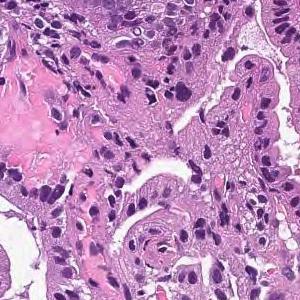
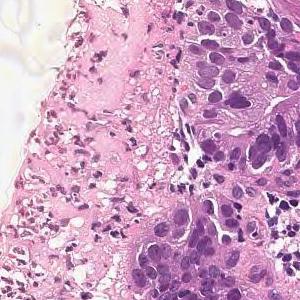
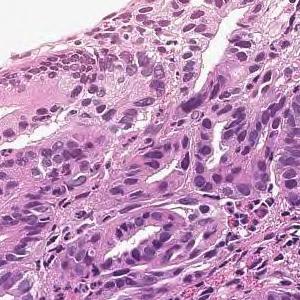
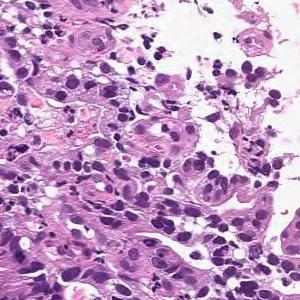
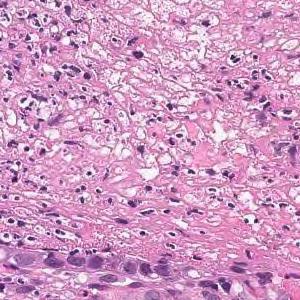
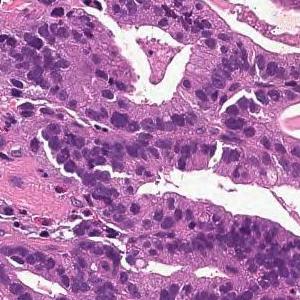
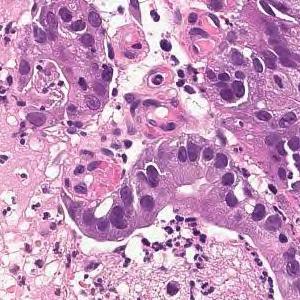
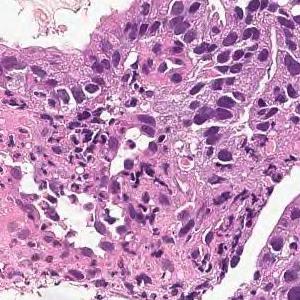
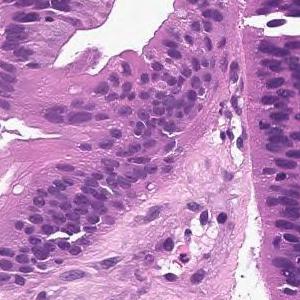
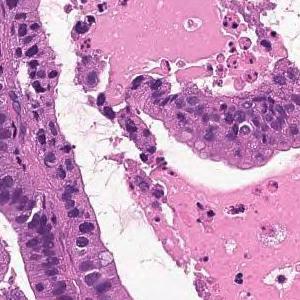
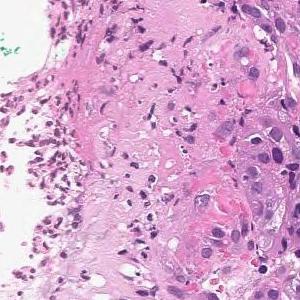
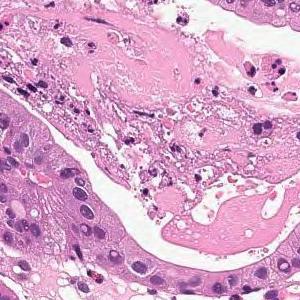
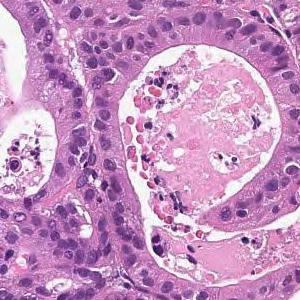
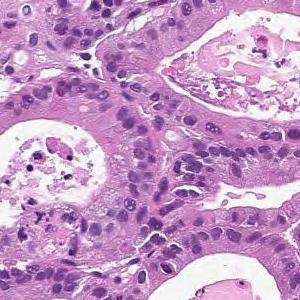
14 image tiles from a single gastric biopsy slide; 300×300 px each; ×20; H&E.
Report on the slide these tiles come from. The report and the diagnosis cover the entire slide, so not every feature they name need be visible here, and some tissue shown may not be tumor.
From the superficial epithelium to the muscularis mucosae, tumor tissue consisting of medium-sized and irregular glandular ducts infiltrating is observed. Well differentiated tubular adenocarcinoma
